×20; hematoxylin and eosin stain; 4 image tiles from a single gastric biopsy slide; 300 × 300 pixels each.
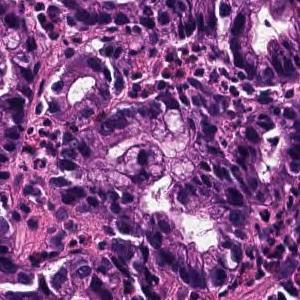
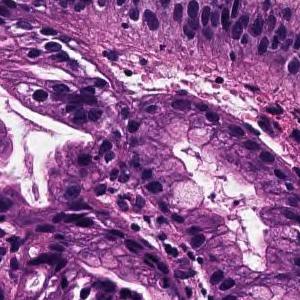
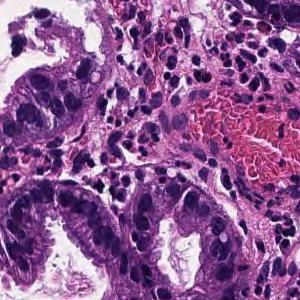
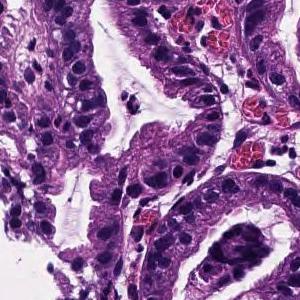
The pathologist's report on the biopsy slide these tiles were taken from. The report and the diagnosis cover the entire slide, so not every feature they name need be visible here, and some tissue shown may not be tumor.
From the superficial epithelium to the muscularis mucosae, tumor tissue consisting of medium-sized and irregular glandular ducts infiltrating is observed. Well differentiated tubular adenocarcinoma
